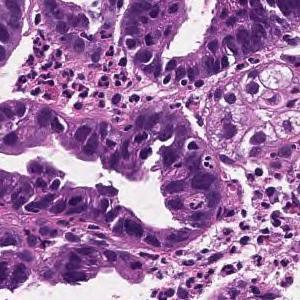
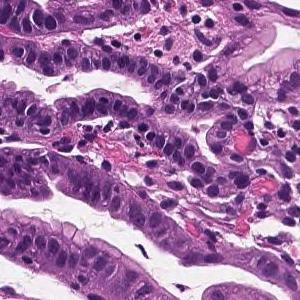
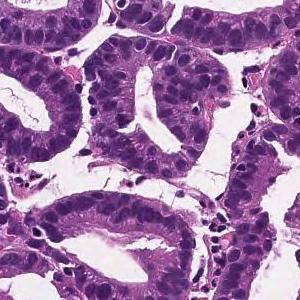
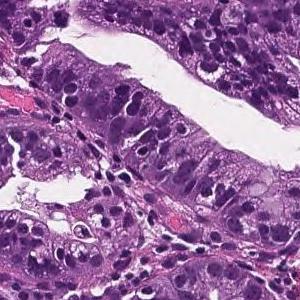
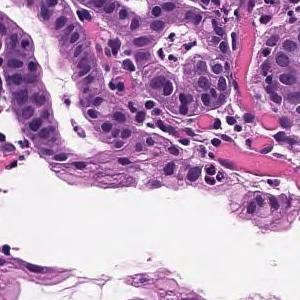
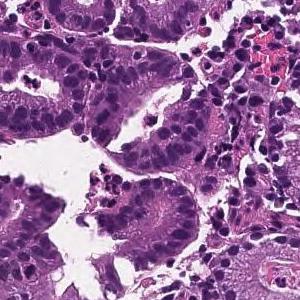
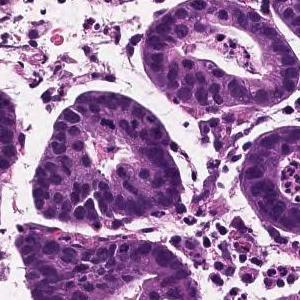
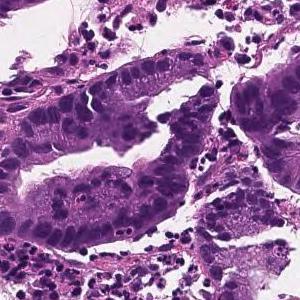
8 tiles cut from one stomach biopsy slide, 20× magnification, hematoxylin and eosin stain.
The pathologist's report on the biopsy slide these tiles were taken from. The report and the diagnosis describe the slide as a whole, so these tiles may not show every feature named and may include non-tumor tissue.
On the superficial epithelium, tumor tissue consisting of medium-sized irregular or small round gland ducts showing a small cord-like shape and infiltrating is observed. Well differentiated tubular adenocarcinoma or Poorly differentiated adenocarcinoma, non-solid type
The dataset labels this slide well differentiated tubular adenocarcinoma.
The term "non-solid type" comes from the Japanese Classification of Gastric Carcinoma.
